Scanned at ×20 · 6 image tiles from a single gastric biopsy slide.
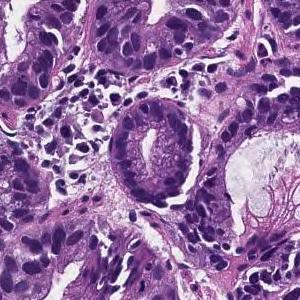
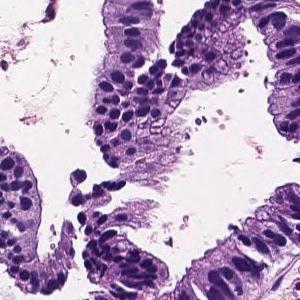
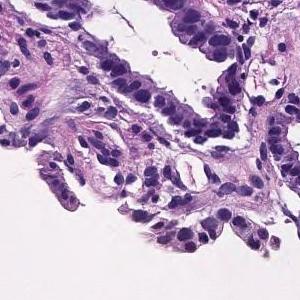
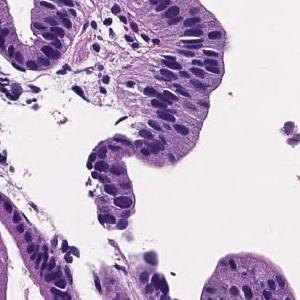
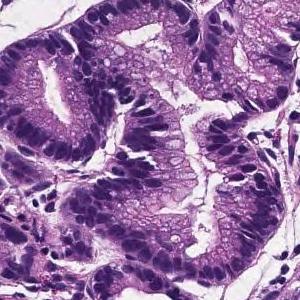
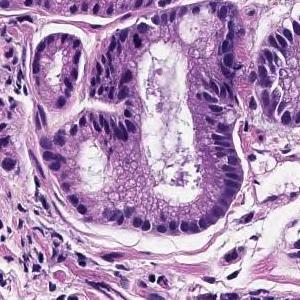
Pathology report for the biopsy slide these tiles were cut from. What the report and the diagnosis say applies to the whole slide; these tiles may miss some of the features named and may include tissue that is not tumor.
Tumor cells are large, highly columnar, large club-shaped nuclei, and are associated with chromatin aggregation. Papillary adenocarcinoma.
